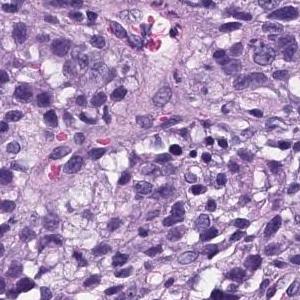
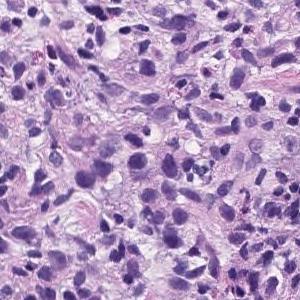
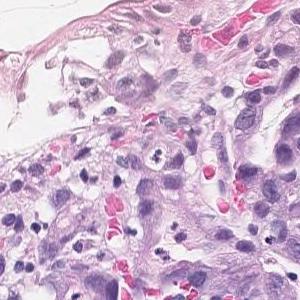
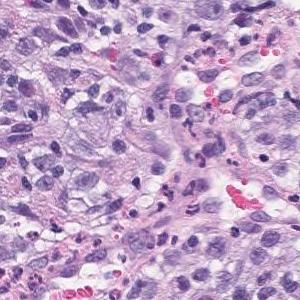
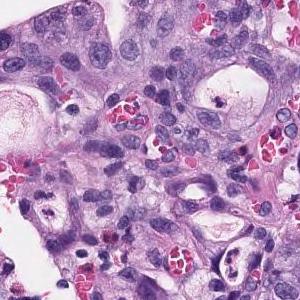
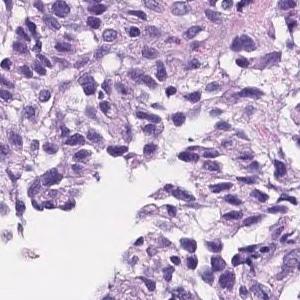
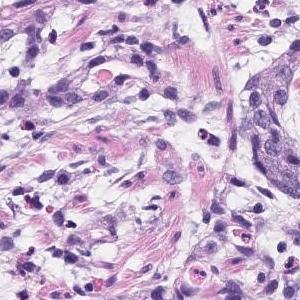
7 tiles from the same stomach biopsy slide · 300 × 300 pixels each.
The pathologist's report on the biopsy slide these tiles were taken from. The report describes the whole slide, diagnosis included: not every finding it names need appear in these tiles, which may also show non-tumor tissue.
There are atypical l cells with atypical nuclei forming cord-like or irregular atypical ducts from solidity and proliferating in a comprehensive manner. Poorly differentiated adenocarcinoma, Moderately differentiated adenocarcinoma (poorly differentiated adenocarcinoma, solid type moderately differentiated tubular adenocarcinoma)
Classified as moderately to poorly differentiated adenocarcinoma.
"Solid type" is a category of the Japanese Classification of Gastric Carcinoma; in the WHO 2019 classification it is tubular adenocarcinoma, poorly differentiated.
